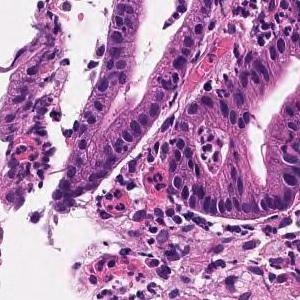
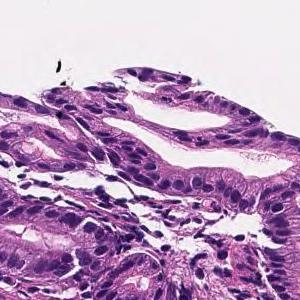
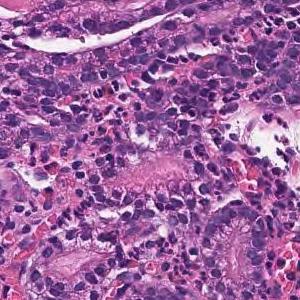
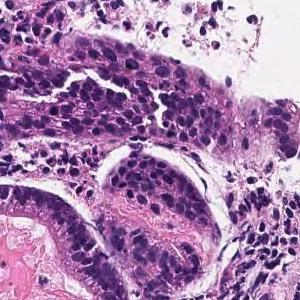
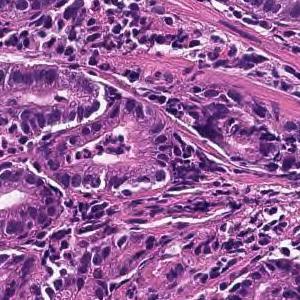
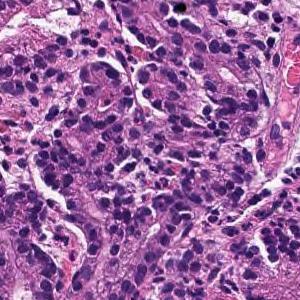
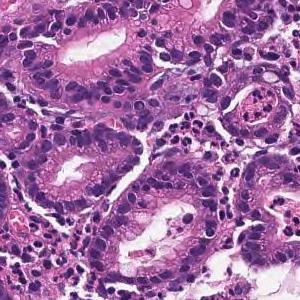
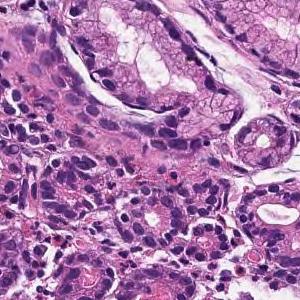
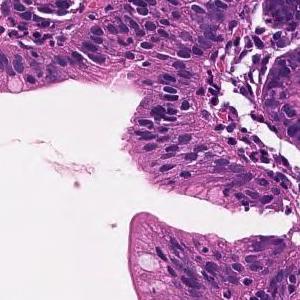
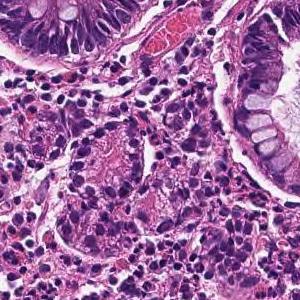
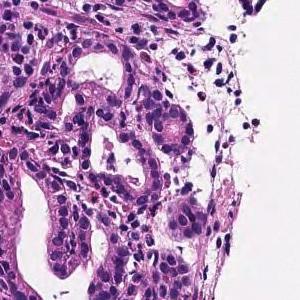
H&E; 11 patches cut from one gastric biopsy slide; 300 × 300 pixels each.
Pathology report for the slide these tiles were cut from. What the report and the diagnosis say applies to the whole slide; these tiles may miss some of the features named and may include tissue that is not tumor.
Tumor tissue infiltrated and proliferated with small to medium-sized irregular tubules is observed in the superficial epithelium. Well differentiated tubular adenocarcinoma
